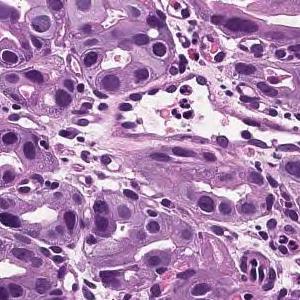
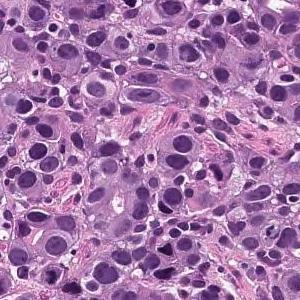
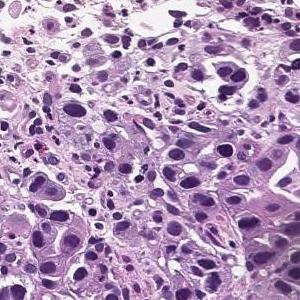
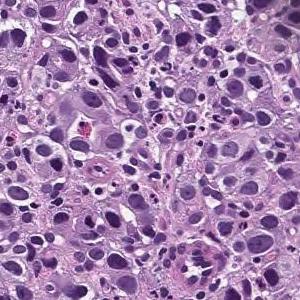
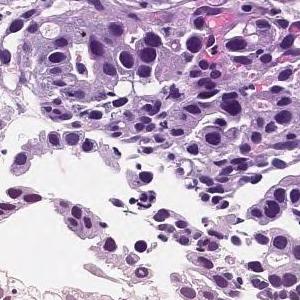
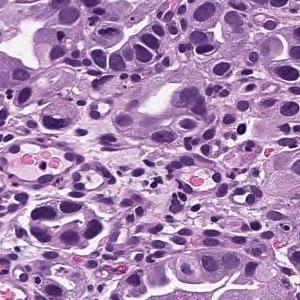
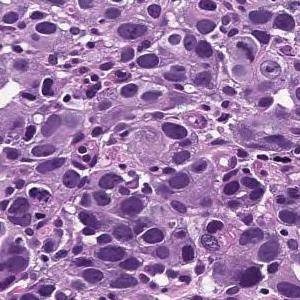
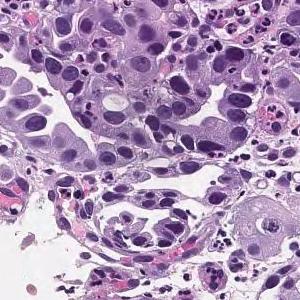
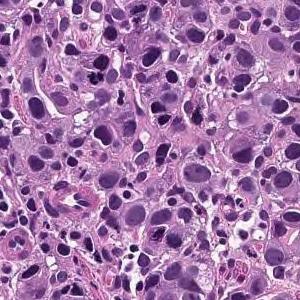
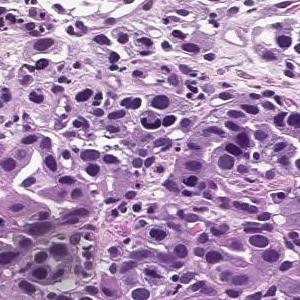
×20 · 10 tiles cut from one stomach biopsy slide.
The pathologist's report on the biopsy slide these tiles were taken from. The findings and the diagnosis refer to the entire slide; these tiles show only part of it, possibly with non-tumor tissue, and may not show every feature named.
The superficial epithelium shows a large sheet or alveolar shape, and tumor tissue infiltrating without irregular ducts is observed. Poorly differentiated adenocarcinoma, solid-type
Subtype: Poorly differentiated adenocarcinoma, solid type, a category of the Japanese Classification of Gastric Carcinoma; in the WHO 2019 classification it is tubular adenocarcinoma, poorly differentiated.
